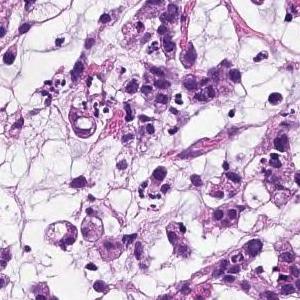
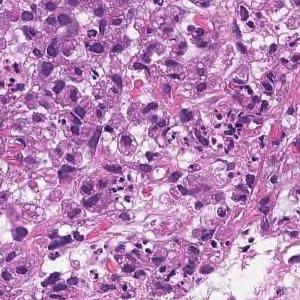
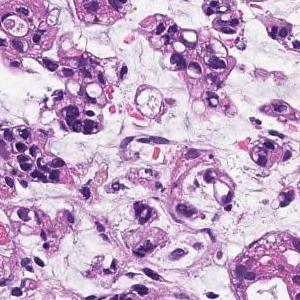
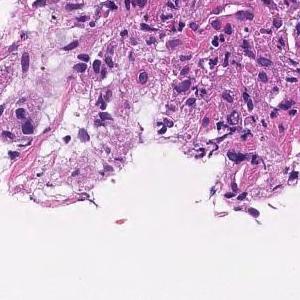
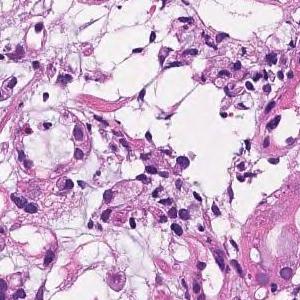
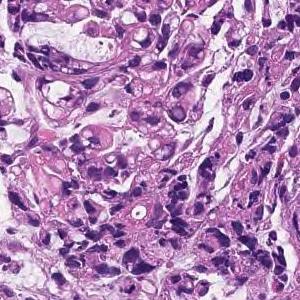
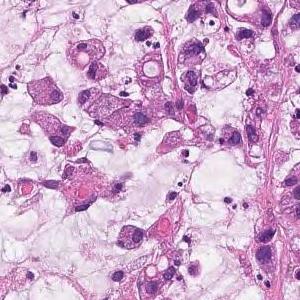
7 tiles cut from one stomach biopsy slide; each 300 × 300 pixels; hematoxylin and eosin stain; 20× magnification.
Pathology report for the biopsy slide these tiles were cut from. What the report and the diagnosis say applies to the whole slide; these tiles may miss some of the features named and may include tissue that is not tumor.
Tumor tissue consisting of cord-like or small, irregular glandular ducts fused and infiltrated is observed in the superficial epithelium. Poorly differentiated adenocarcinoma, non-solid type
The non-solid type named here is a Japanese Classification of Gastric Carcinoma category.
